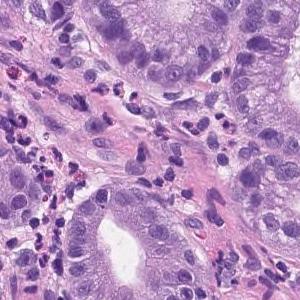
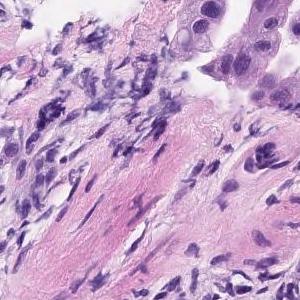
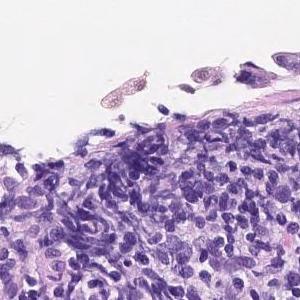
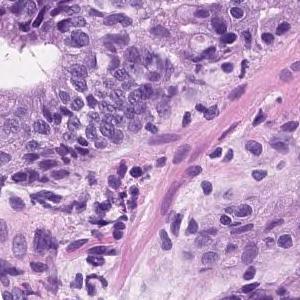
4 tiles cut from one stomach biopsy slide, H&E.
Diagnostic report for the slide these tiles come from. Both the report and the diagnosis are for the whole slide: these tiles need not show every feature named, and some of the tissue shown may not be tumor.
Tumor tissue consisting of medium-sized and irregular ducts is observed infiltrating in the superficial epithelium. Tumor cells are highly columnar, with nuclei aligned basolaterally and polarized. Well differentiated tubular adenocarcinoma.
